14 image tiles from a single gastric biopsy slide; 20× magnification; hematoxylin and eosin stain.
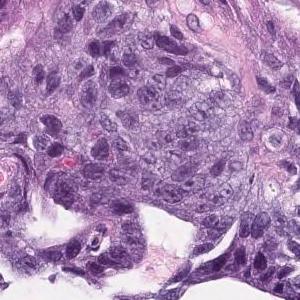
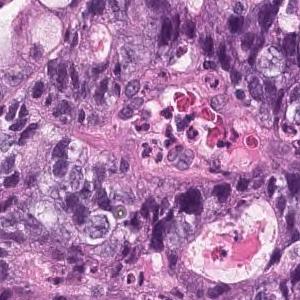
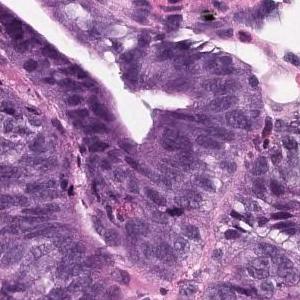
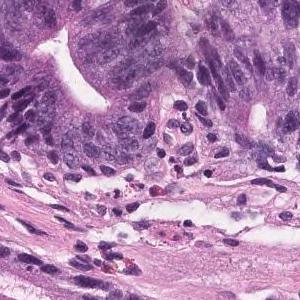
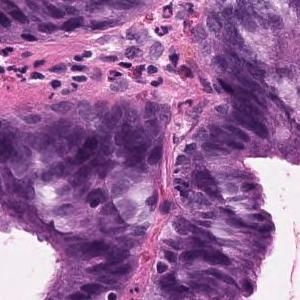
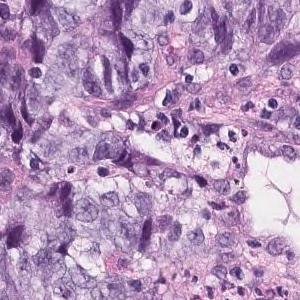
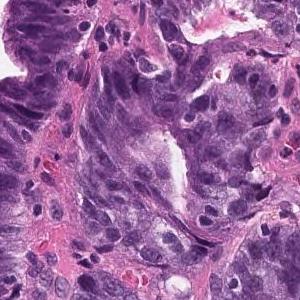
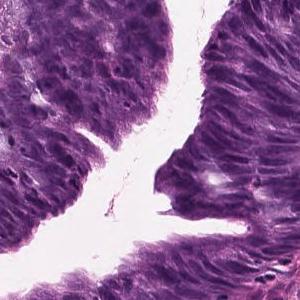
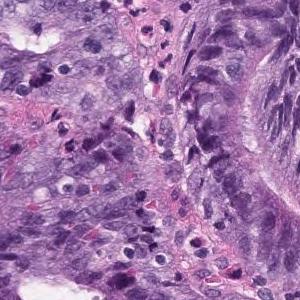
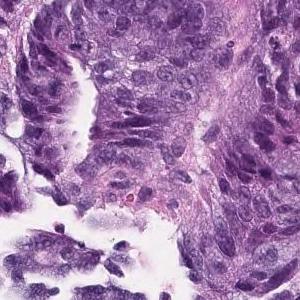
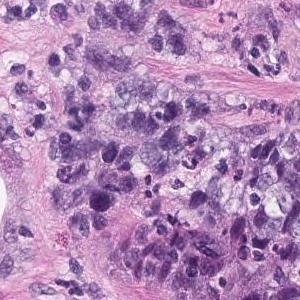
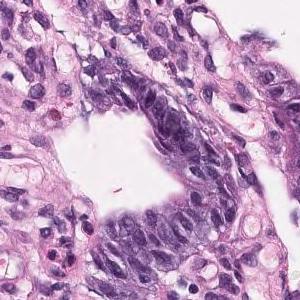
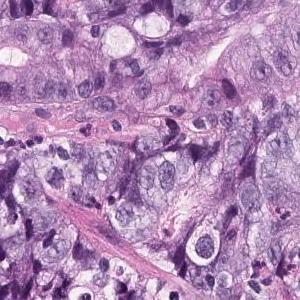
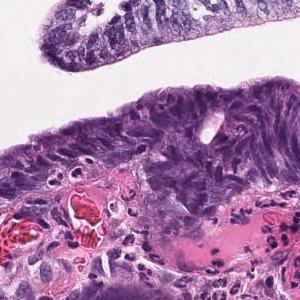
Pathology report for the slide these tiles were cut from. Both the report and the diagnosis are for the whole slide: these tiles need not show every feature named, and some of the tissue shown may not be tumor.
Large atypical epithelial cells with swollen atypical nuclei are seen proliferating into a tubular fusion gland. moderately differentiated tubular adenocarcinoma
